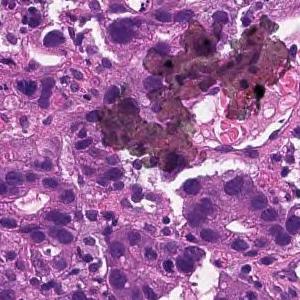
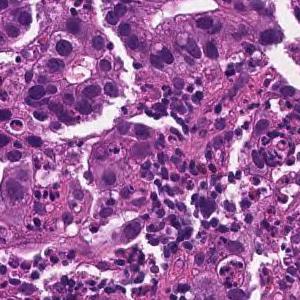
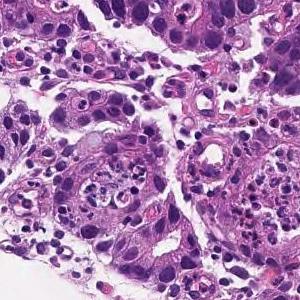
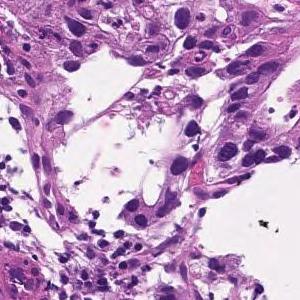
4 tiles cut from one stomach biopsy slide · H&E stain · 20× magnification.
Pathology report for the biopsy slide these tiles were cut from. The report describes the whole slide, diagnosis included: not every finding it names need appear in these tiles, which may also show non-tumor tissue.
Medium to small, irregular glandular ducts are formed in the superficial epithelium, and in some cases, the glandular ducts are fused to show solid alveolar lesions and infiltrating tumor tissue is observed. Moderately to poorly differentiated adenocarcinoma.
